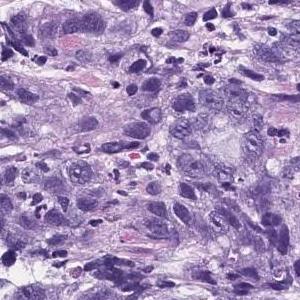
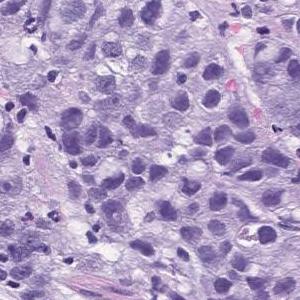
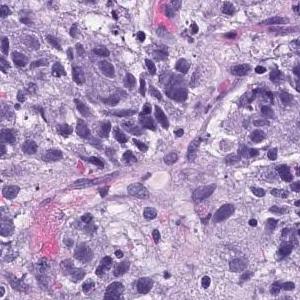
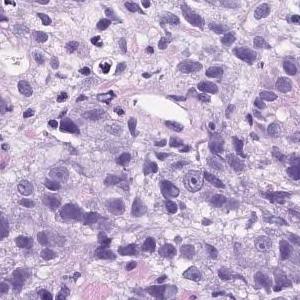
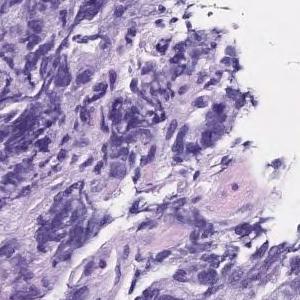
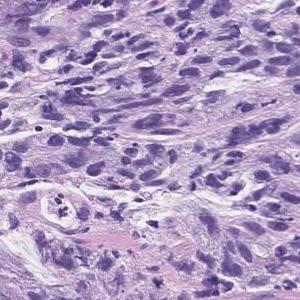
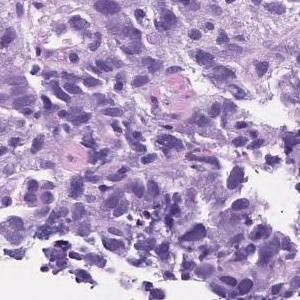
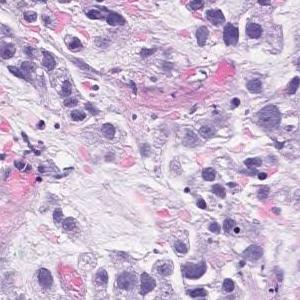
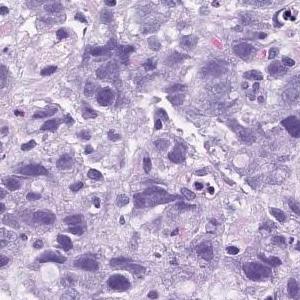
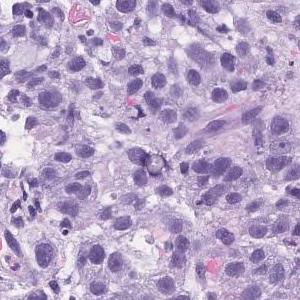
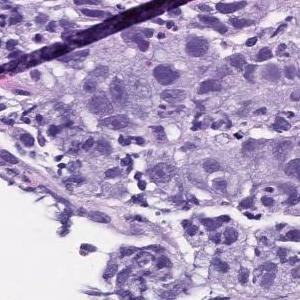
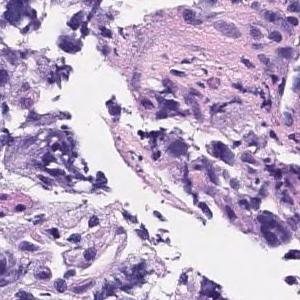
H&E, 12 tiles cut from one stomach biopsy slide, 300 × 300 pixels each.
Pathology report for the biopsy slide these tiles were cut from. What the report and the diagnosis say applies to the whole slide; these tiles may miss some of the features named and may include tissue that is not tumor.
Atypical l cells with atypical nuclei forming solid vesicles or small irregular atypical ducts that proliferate in a complex manner. poorly differentiated adenocarcinoma, solid type, moderately differentiated tubular adenocarcinoma
"Solid type" is a category of the Japanese Classification of Gastric Carcinoma; in the WHO 2019 classification it is tubular adenocarcinoma, poorly differentiated.
